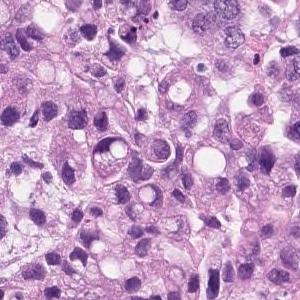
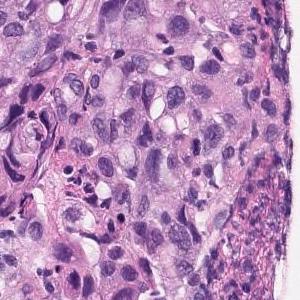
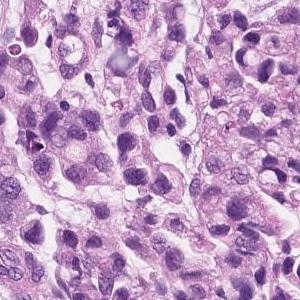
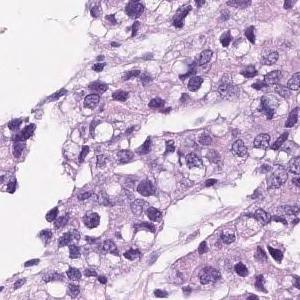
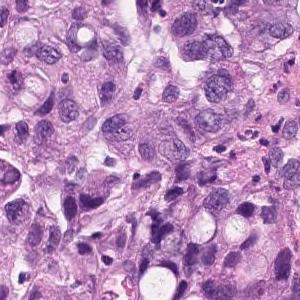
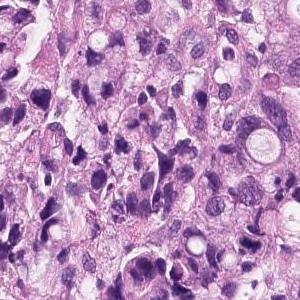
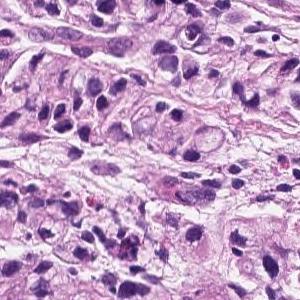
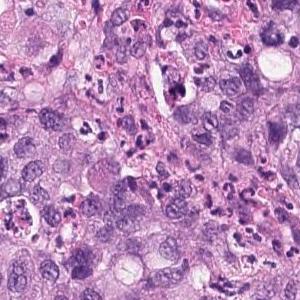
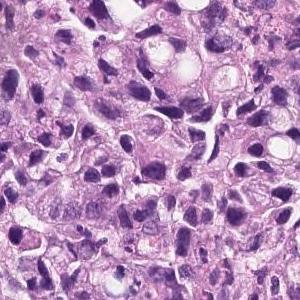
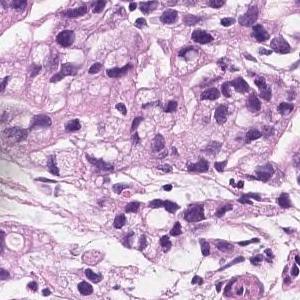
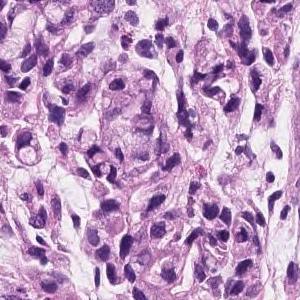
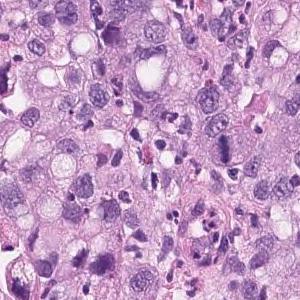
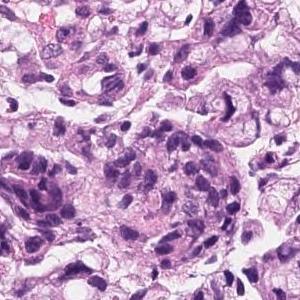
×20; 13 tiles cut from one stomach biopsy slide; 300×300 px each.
Diagnostic report for the slide these tiles come from. Both the report and the diagnosis are for the whole slide: these tiles need not show every feature named, and some of the tissue shown may not be tumor.
Group 5, Adenocarcinoma. Poorly differentiated adenocarcinoma, non-solid type
"Non-solid type" is a category of the Japanese Classification of Gastric Carcinoma.
